Scanned at ×20; 12 image tiles from a single gastric biopsy slide.
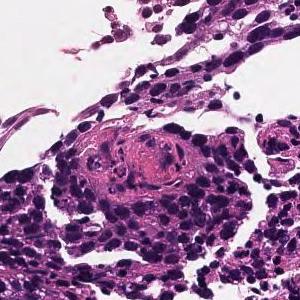
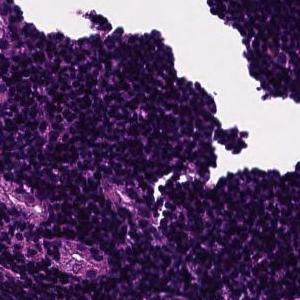
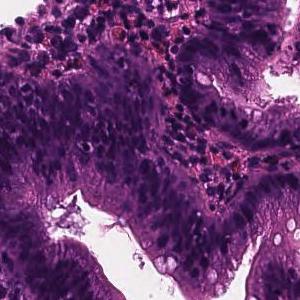
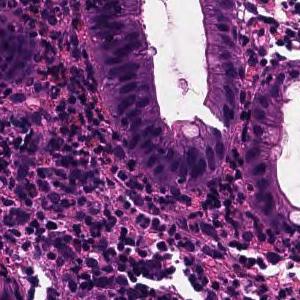
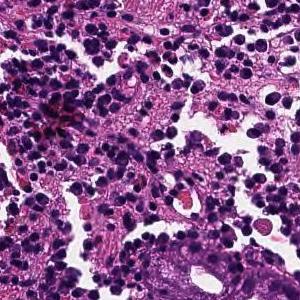
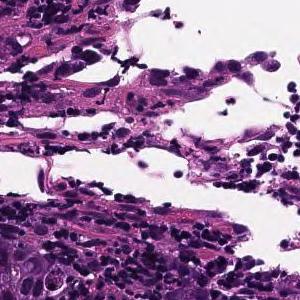
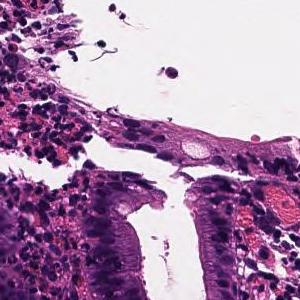
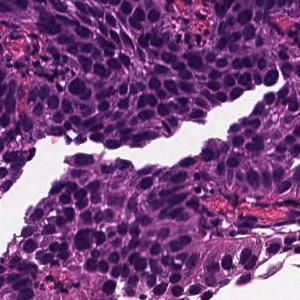
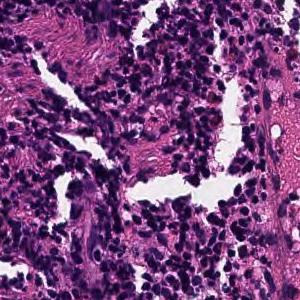
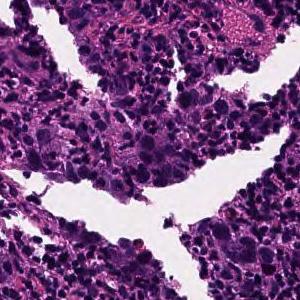
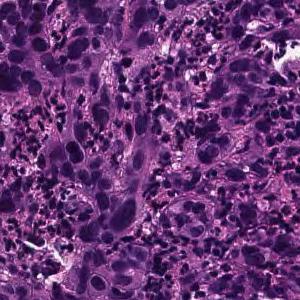
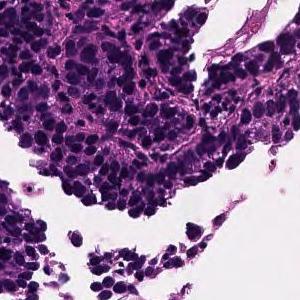
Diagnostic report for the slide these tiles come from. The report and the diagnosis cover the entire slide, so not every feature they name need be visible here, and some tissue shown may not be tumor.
Tumor tissue consisting of cord-like or small, irregular glandular ducts fused and infiltrated is observed in the superficial epithelium. Poorly differentiated adenocarcinoma, non-solid type
"Non-solid type" is a category of the Japanese Classification of Gastric Carcinoma.
